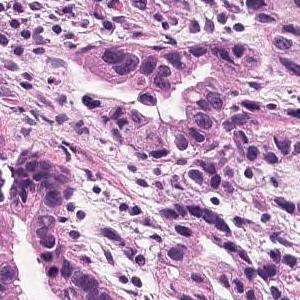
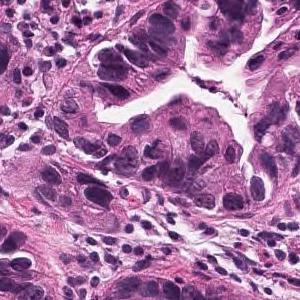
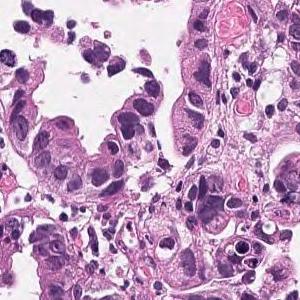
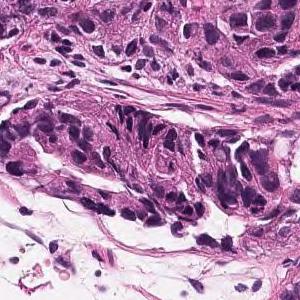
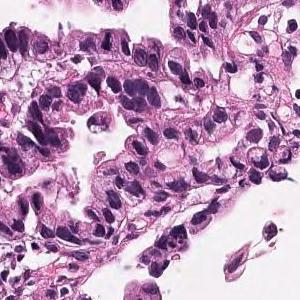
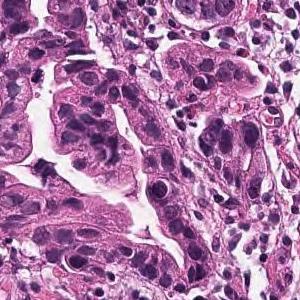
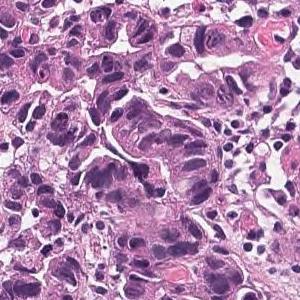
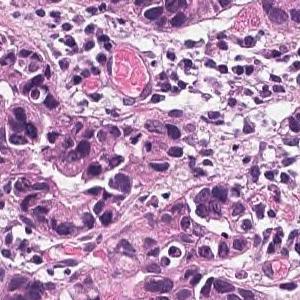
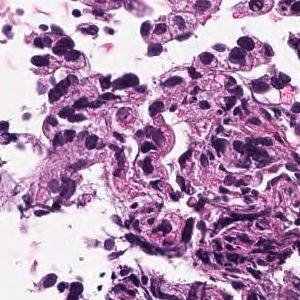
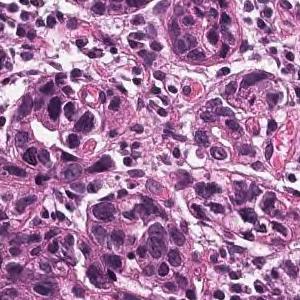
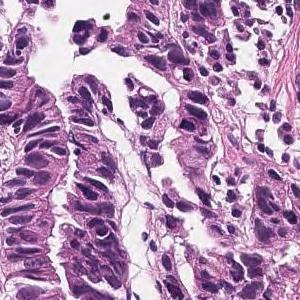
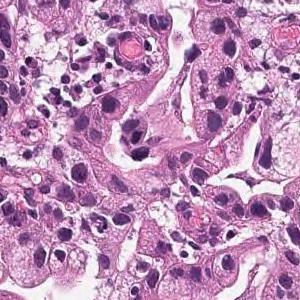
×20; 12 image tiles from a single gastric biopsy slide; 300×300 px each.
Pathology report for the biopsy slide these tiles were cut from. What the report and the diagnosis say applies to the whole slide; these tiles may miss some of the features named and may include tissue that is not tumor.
Medium to small, irregular glandular ducts are formed in the superficial epithelium, and in some cases, the glandular ducts are fused to show solid alveolar lesions and infiltrating tumor tissue is observed. Moderately to poorly differentiated adenocarcinoma.
